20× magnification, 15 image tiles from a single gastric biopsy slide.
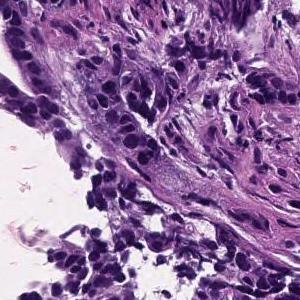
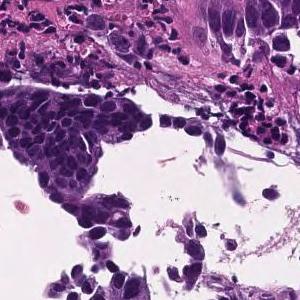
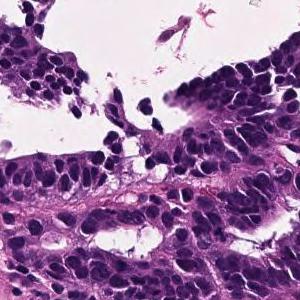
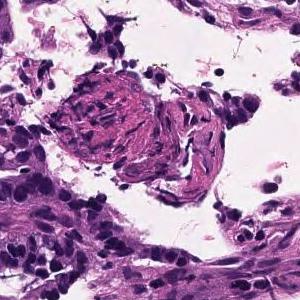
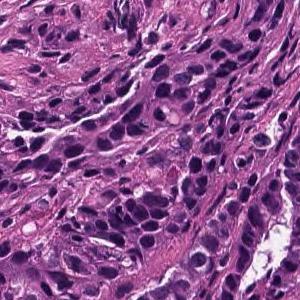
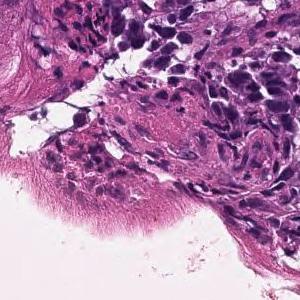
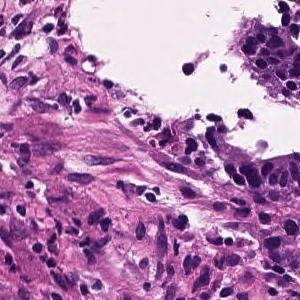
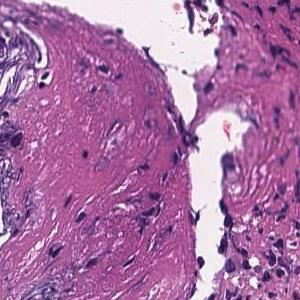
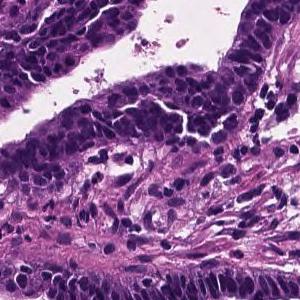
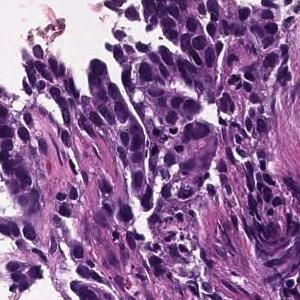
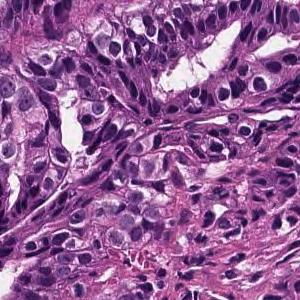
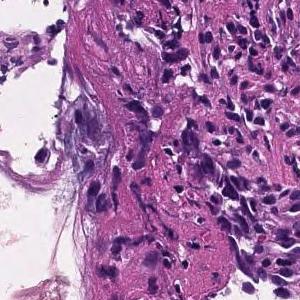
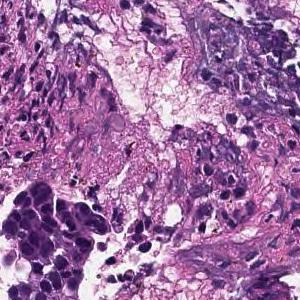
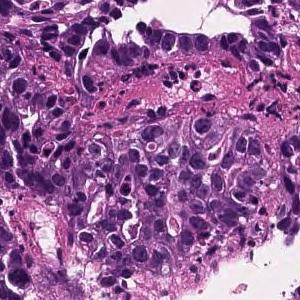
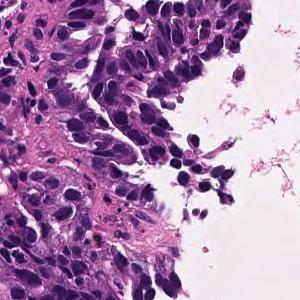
Pathology report for the slide these tiles were cut from. What the report and the diagnosis say applies to the whole slide; these tiles may miss some of the features named and may include tissue that is not tumor.
Tumor cells are large, highly columnar, large club-shaped nuclei, and are associated with chromatin aggregation. Papillary adenocarcinoma.
